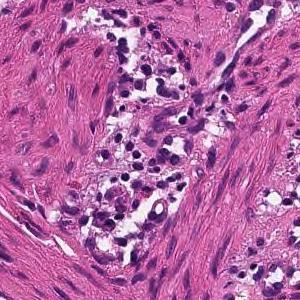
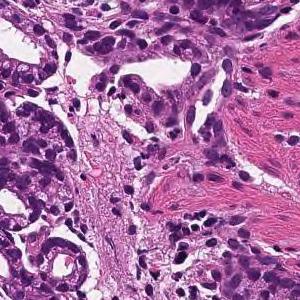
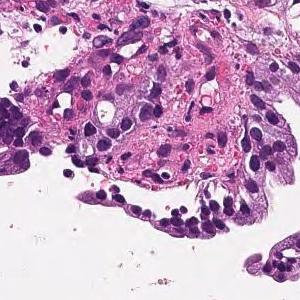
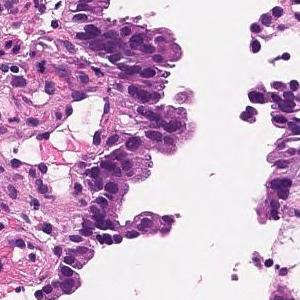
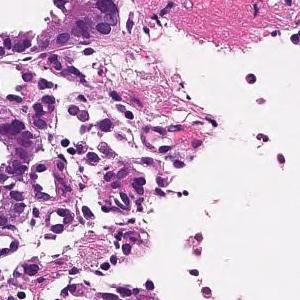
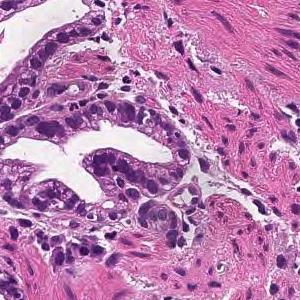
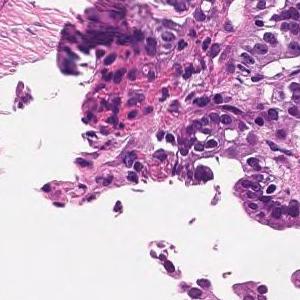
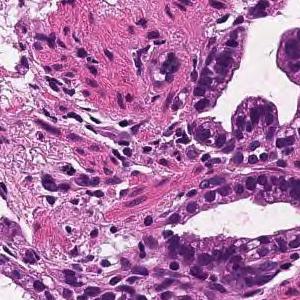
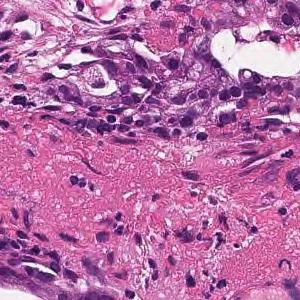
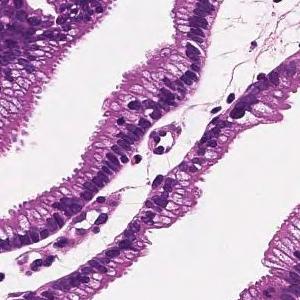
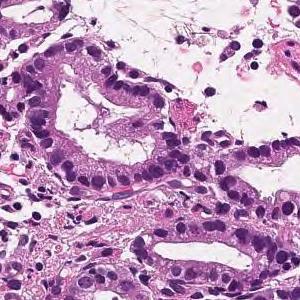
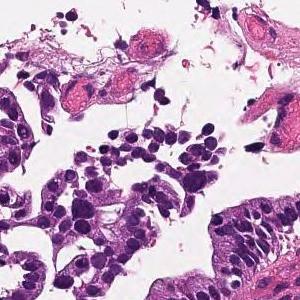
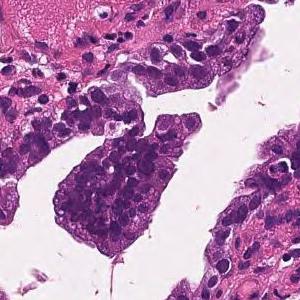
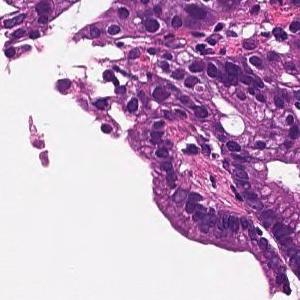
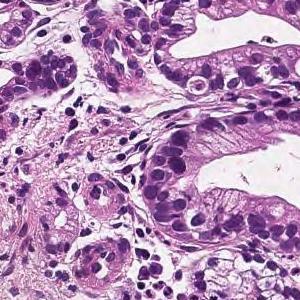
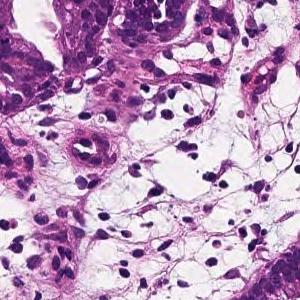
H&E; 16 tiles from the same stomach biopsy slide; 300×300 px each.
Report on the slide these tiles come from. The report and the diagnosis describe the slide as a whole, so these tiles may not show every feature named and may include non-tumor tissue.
On the superficial epithelium, tumor tissue that infiltrates by forming medium-sized papillary or small irregular ducts is observed. Papillary adenocarcinoma
